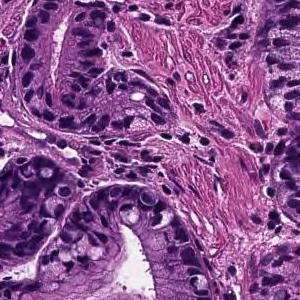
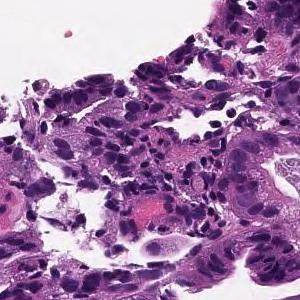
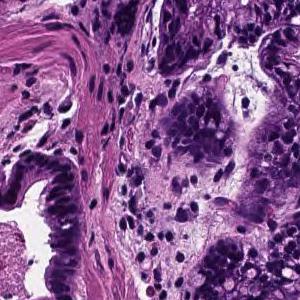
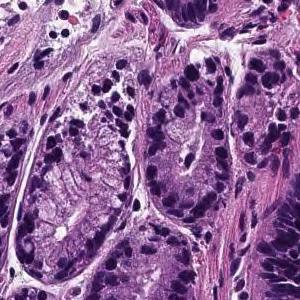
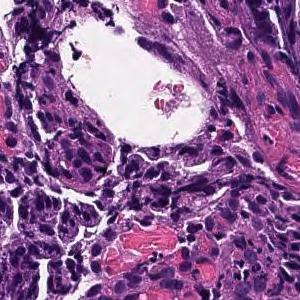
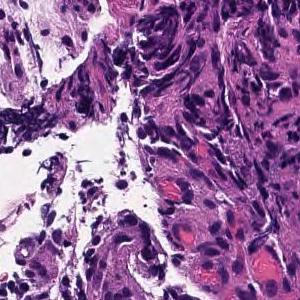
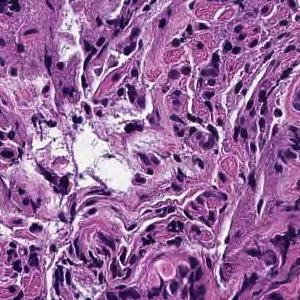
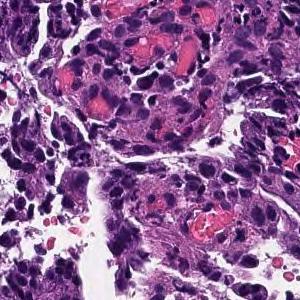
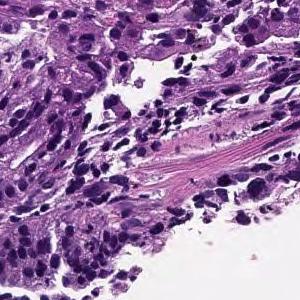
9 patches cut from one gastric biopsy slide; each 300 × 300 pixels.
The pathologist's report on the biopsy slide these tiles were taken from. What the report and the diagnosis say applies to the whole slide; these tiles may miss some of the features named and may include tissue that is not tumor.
From the superficial epithelium to the muscularis mucosae, tumor tissue consisting of medium-sized and irregular glandular ducts infiltrating is observed. Well differentiated tubular adenocarcinoma
